4 tiles cut from one stomach biopsy slide, 300×300 px each, H&E stain, 20× magnification.
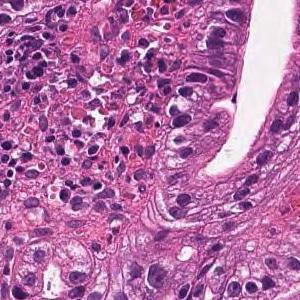
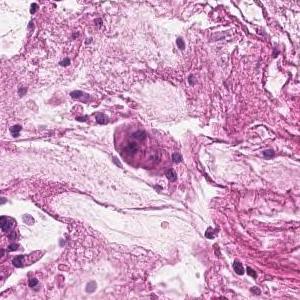
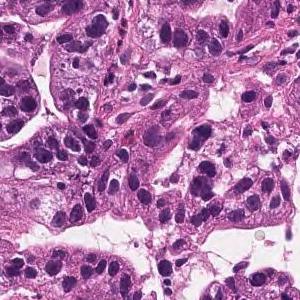
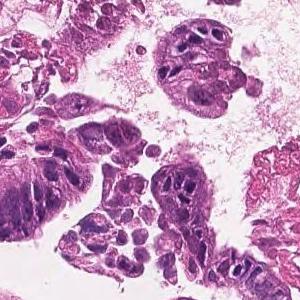
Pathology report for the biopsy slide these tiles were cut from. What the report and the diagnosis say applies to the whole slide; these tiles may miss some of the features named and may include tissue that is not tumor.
Tumor cells are large, highly columnar, large club-shaped nuclei, and are associated with chromatin aggregation. Papillary adenocarcinoma.
